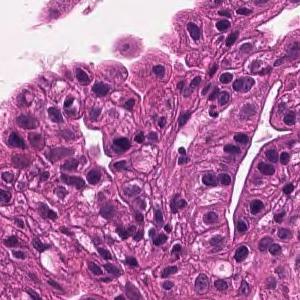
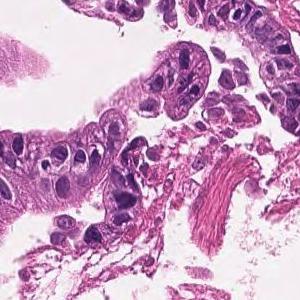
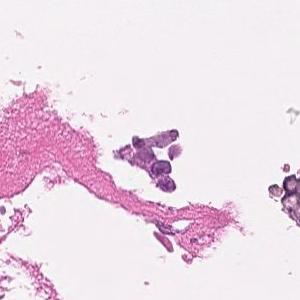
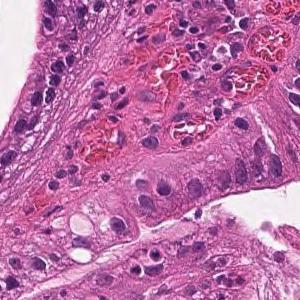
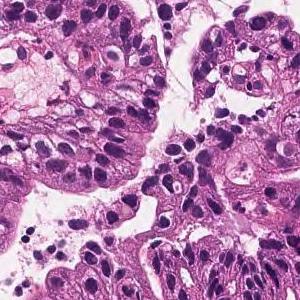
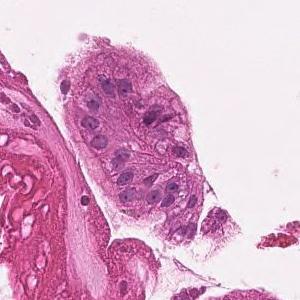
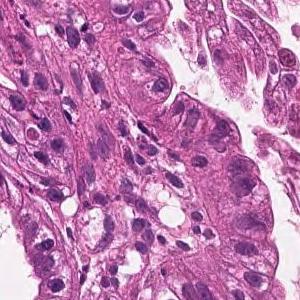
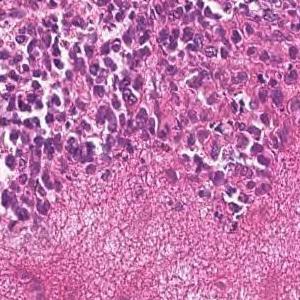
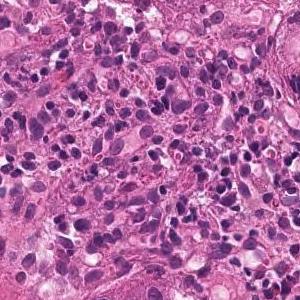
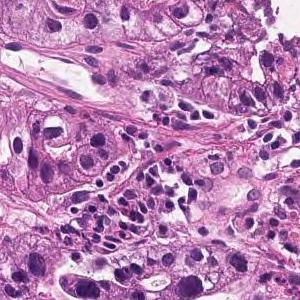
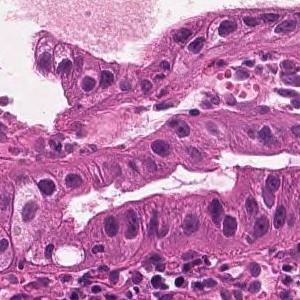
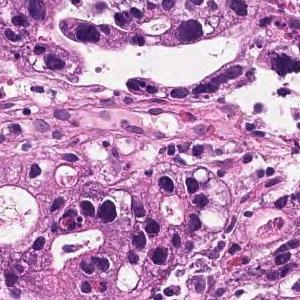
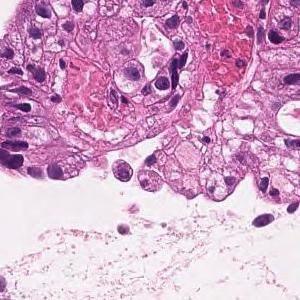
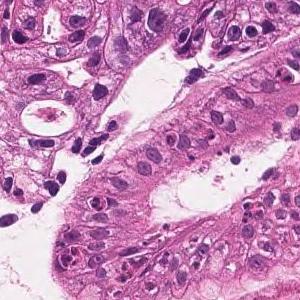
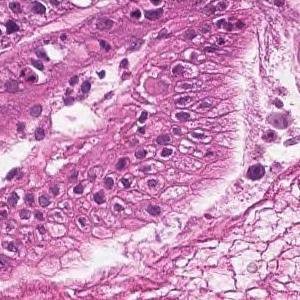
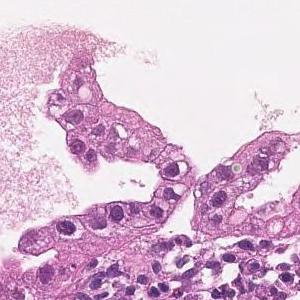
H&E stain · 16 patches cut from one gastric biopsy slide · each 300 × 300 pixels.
Pathology report for the slide these tiles were cut from. Both the report and the diagnosis are for the whole slide: these tiles need not show every feature named, and some of the tissue shown may not be tumor.
Tumor cells are large, highly columnar, large club-shaped nuclei, and are associated with chromatin aggregation. Papillary adenocarcinoma.
